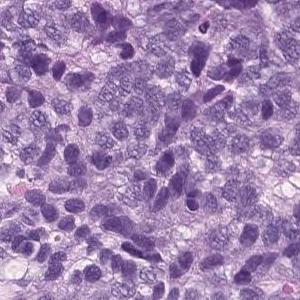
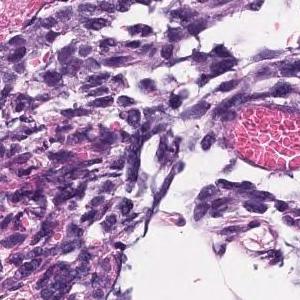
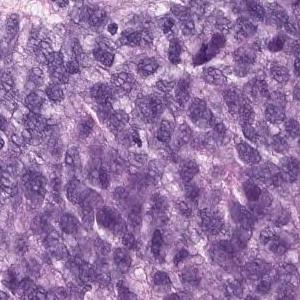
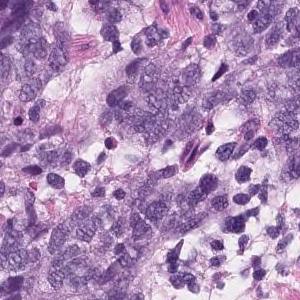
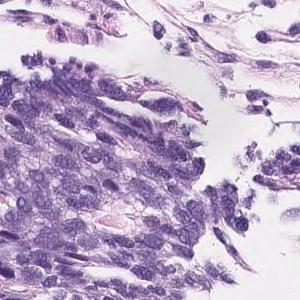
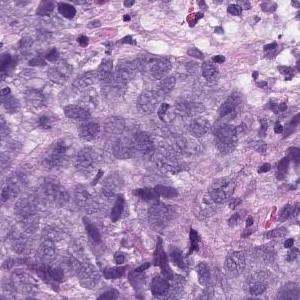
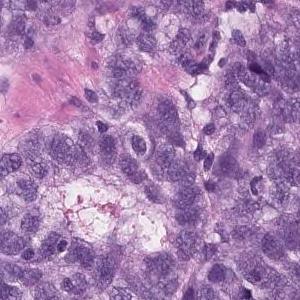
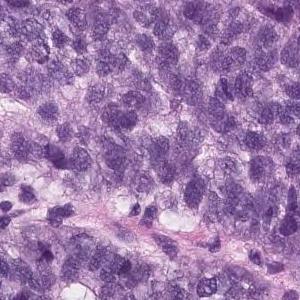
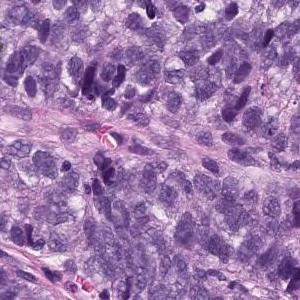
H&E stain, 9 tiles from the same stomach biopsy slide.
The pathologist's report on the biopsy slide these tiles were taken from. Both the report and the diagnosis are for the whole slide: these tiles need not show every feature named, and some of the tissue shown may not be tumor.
Epithelial cells with swollen nuclei with atypia invasively proliferating while forming vesicles is observed. Poorly differentiated adenocarcinoma
Histologic type: Poorly differentiated adenocarcinoma, solid type (Japanese Classification of Gastric Carcinoma). The WHO 2019 equivalent is tubular adenocarcinoma, poorly differentiated.
